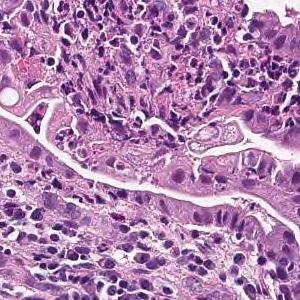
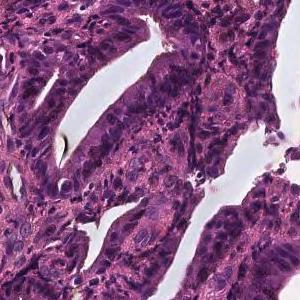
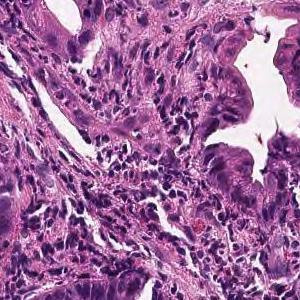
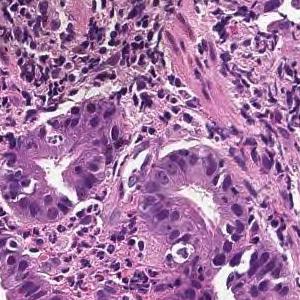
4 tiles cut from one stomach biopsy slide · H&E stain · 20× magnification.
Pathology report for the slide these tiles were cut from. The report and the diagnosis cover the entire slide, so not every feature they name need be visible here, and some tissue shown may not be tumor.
From the superficial epithelium to the muscularis mucosae, tumor tissue consisting of medium-sized and irregular glandular ducts infiltrating is observed. Well differentiated tubular adenocarcinoma
